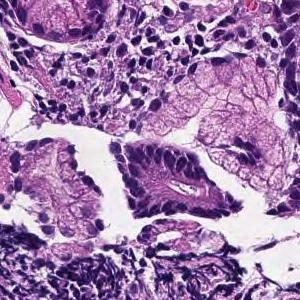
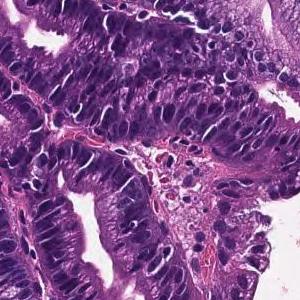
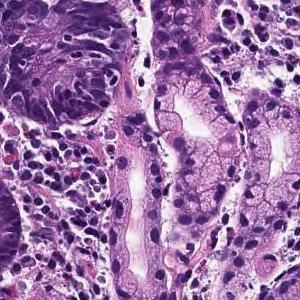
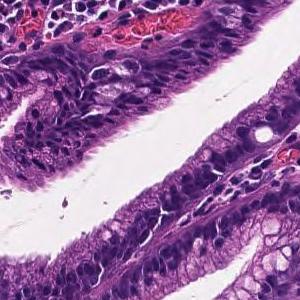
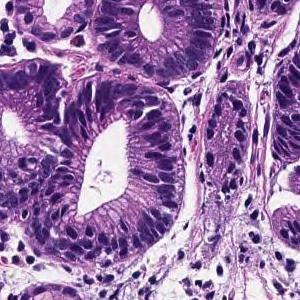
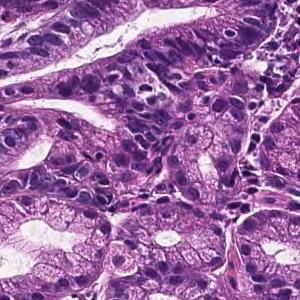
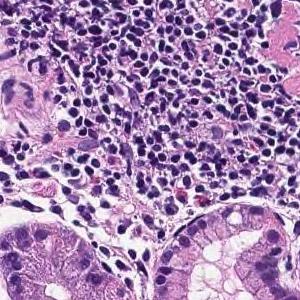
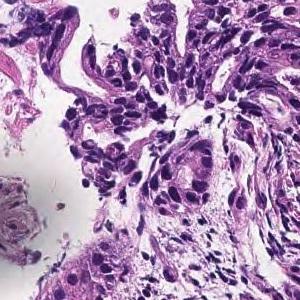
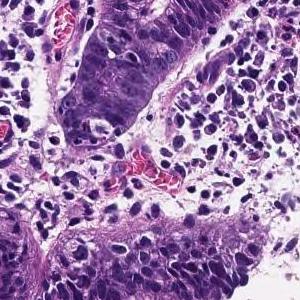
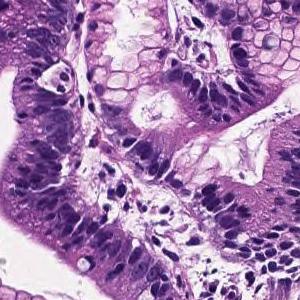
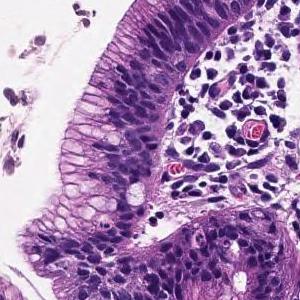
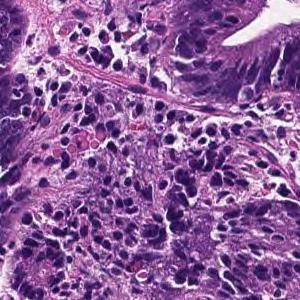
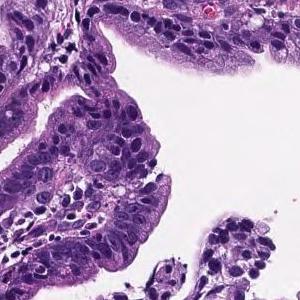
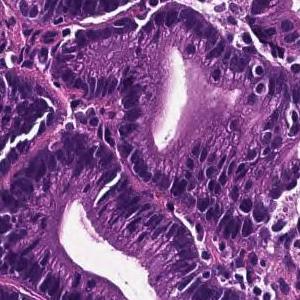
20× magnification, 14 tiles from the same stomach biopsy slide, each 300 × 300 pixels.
Diagnostic report for the slide these tiles come from. The report and the diagnosis cover the entire slide, so not every feature they name need be visible here, and some tissue shown may not be tumor.
From the superficial epithelium to the muscularis mucosae, tumor tissue consisting of medium-sized and irregular glandular ducts infiltrating is observed. Well differentiated tubular adenocarcinoma
